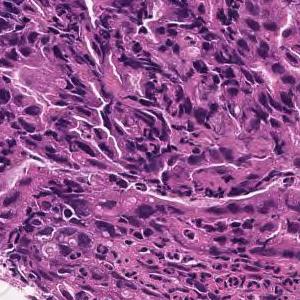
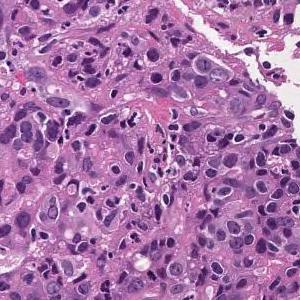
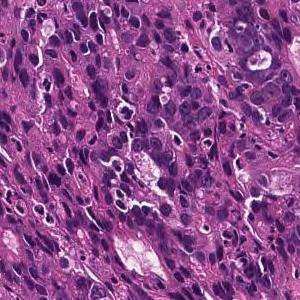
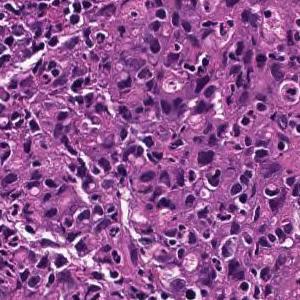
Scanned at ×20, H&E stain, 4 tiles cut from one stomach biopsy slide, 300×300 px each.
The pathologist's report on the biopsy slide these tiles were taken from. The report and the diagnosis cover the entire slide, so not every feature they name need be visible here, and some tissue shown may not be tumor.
In the superficial epithelium, tumor tissue that invades by forming medium-sized to small, irregular ducts is observed. moderately differentiated tubular adenocarcinoma.
